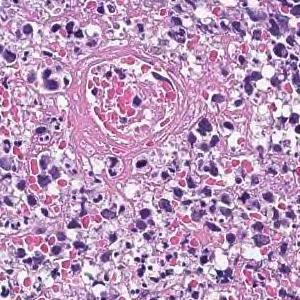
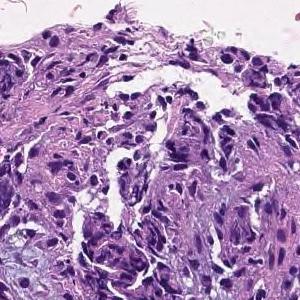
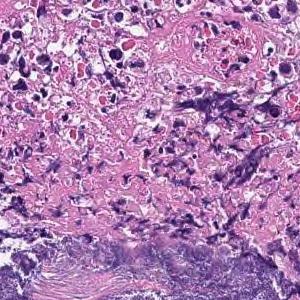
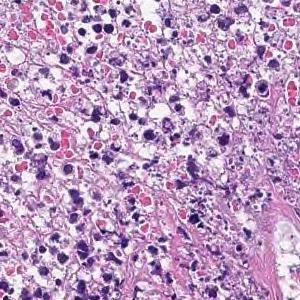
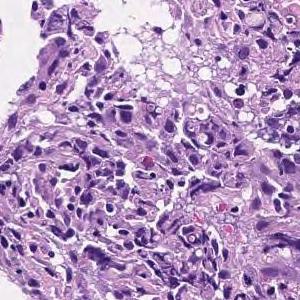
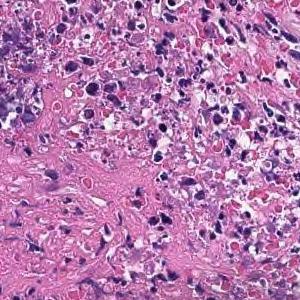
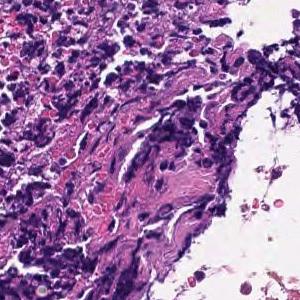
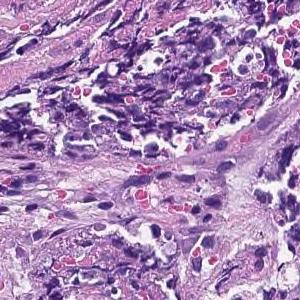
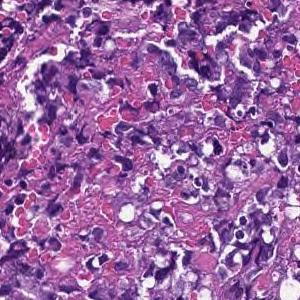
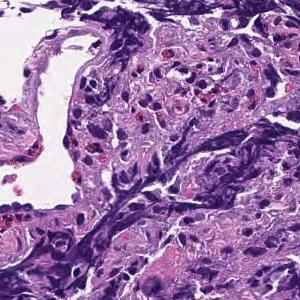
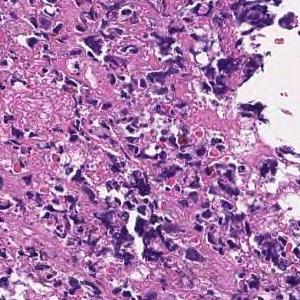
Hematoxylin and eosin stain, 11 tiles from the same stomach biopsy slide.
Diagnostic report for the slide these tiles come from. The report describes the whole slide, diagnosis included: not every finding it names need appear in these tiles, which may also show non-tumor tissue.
Most are composed of coagulative necrotic tissue, but some show a large sheet-like shape, and some show tumor tissue infiltrating with a small cord-like structure. Poorly differentiated adenocarcinoma, solid-type
Classified as poorly differentiated adenocarcinoma, solid type, a category of the Japanese Classification of Gastric Carcinoma; in the WHO 2019 classification it is tubular adenocarcinoma, poorly differentiated.
